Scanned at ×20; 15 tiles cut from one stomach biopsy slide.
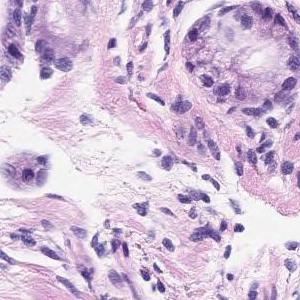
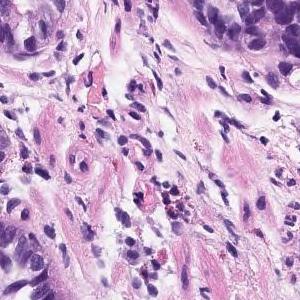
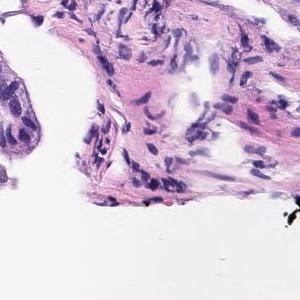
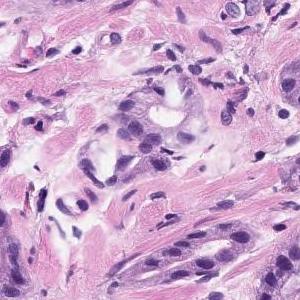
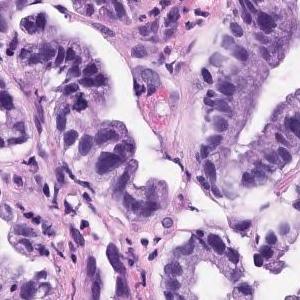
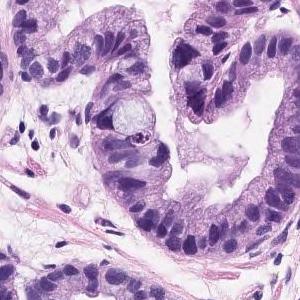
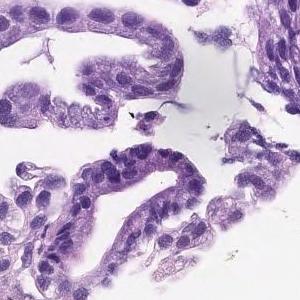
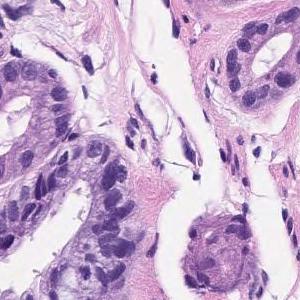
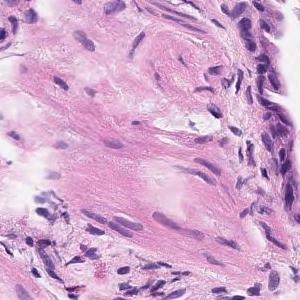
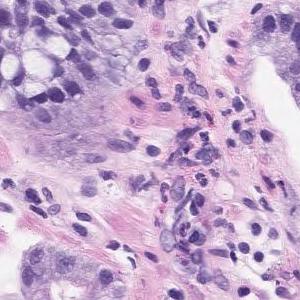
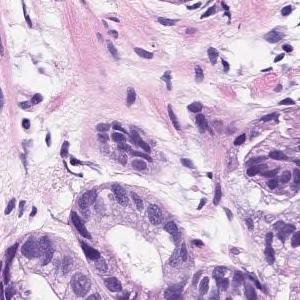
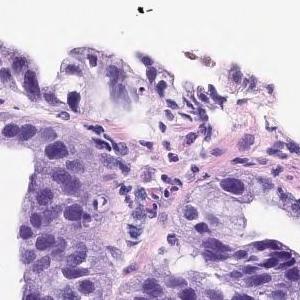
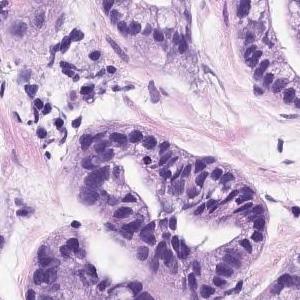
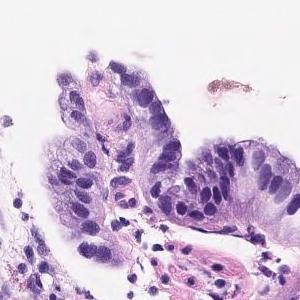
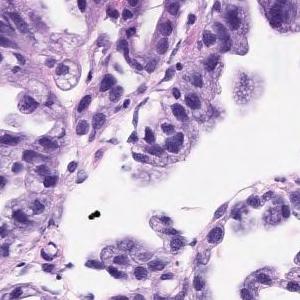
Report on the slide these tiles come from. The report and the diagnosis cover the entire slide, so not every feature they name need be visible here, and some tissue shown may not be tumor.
The superficial tumors shows large papillary structures or large and small ducts and infiltrates. Papillary adenocarcinoma.
